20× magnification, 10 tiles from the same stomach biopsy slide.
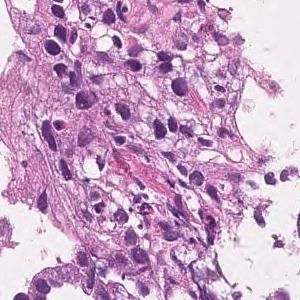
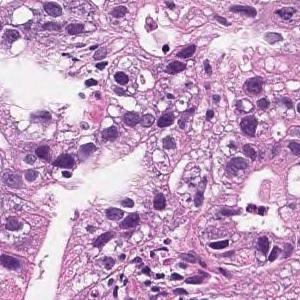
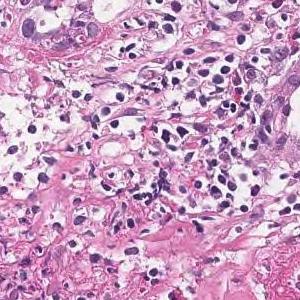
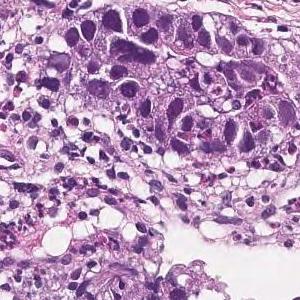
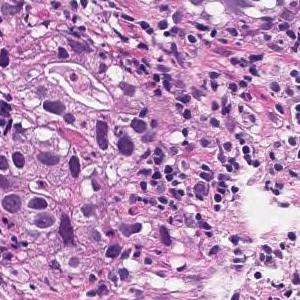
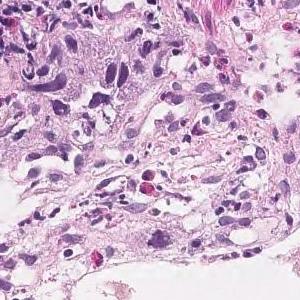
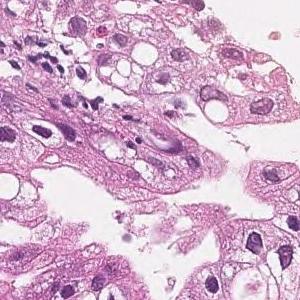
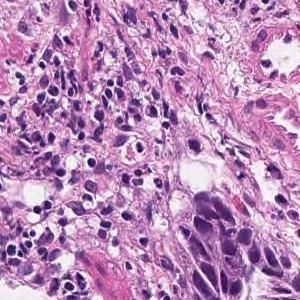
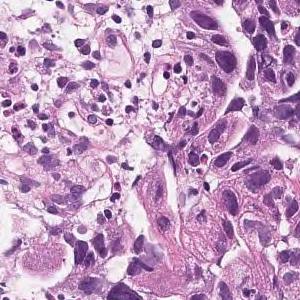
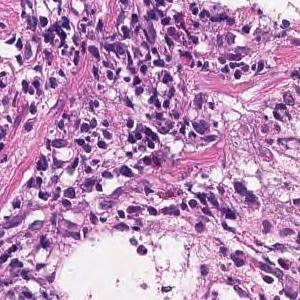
Pathology report for the slide these tiles were cut from. The report and the diagnosis describe the slide as a whole, so these tiles may not show every feature named and may include non-tumor tissue.
In the superficial epithelium, tumor tissue that invades by forming medium-sized to small, irregular ducts is observed. moderately differentiated tubular adenocarcinoma.
